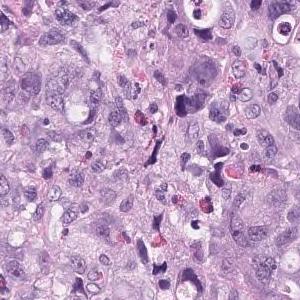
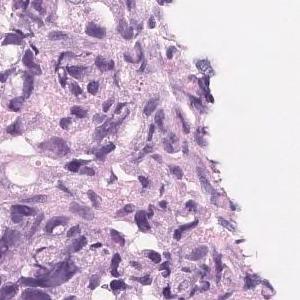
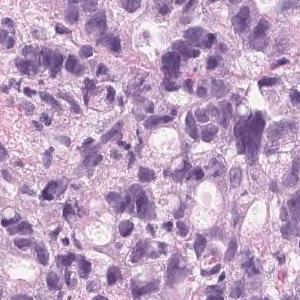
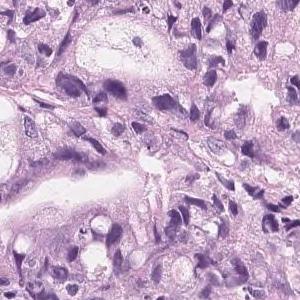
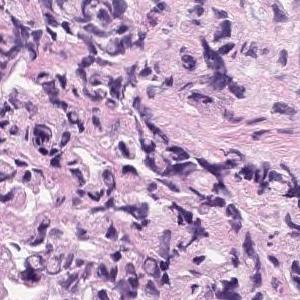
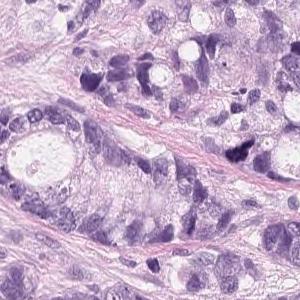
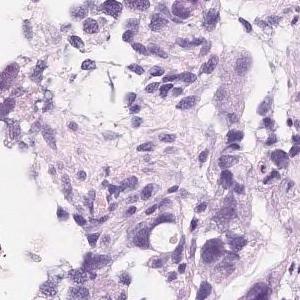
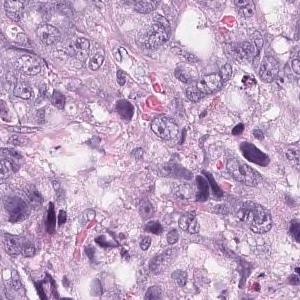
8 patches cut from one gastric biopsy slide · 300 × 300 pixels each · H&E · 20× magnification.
Diagnostic report for the slide these tiles come from. Both the report and the diagnosis are for the whole slide: these tiles need not show every feature named, and some of the tissue shown may not be tumor.
Tumor tissue that infiltrates and proliferates by forming small glandular cavities in the superficial layer to the submucosa or forming a mass is observed. moderately differentiated tubular adenocarcinoma
